H&E · ×20 · 16 image tiles from a single gastric biopsy slide · 300 × 300 pixels each.
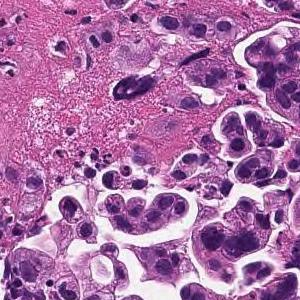
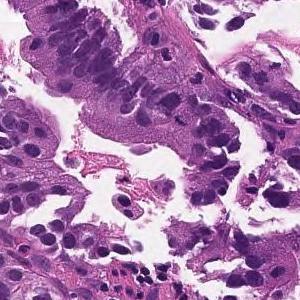
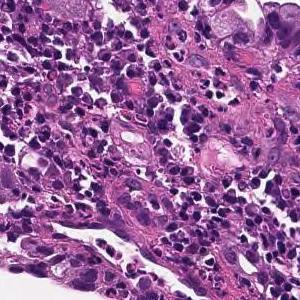
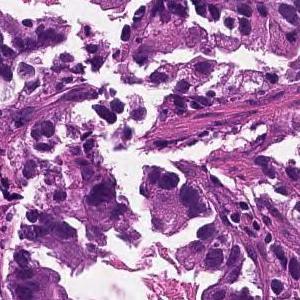
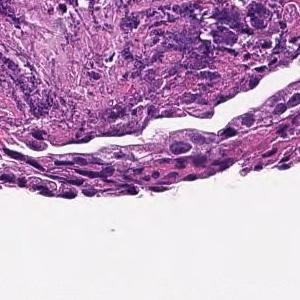
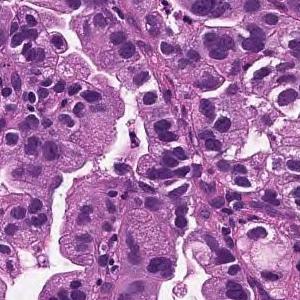
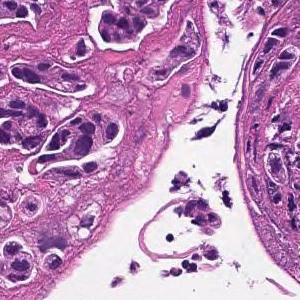
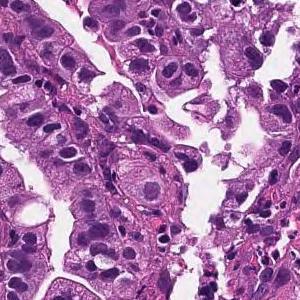
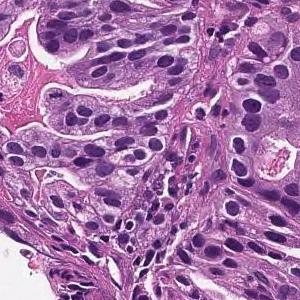
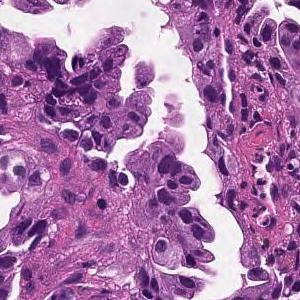
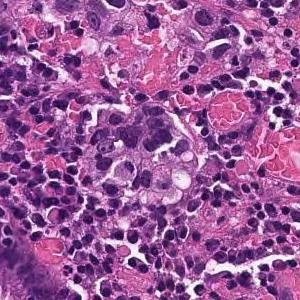
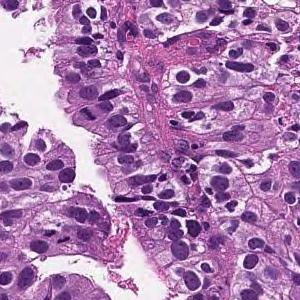
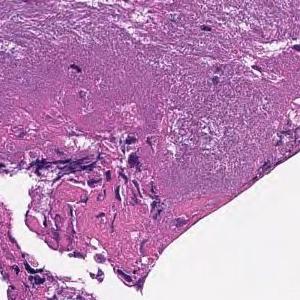
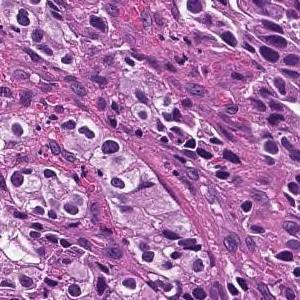
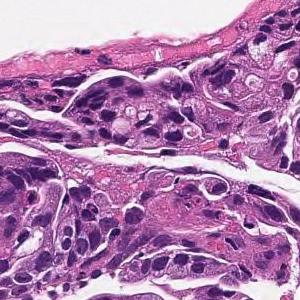
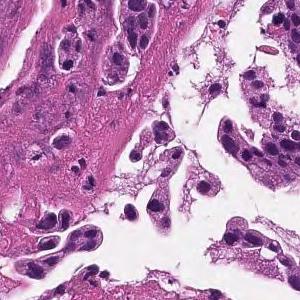
Pathology report for the biopsy slide these tiles were cut from. What the report and the diagnosis say applies to the whole slide; these tiles may miss some of the features named and may include tissue that is not tumor.
Medium to small, irregular glandular ducts are formed in the superficial epithelium, and in some cases, the glandular ducts are fused to show solid alveolar lesions and infiltrating tumor tissue is observed. Moderately to poorly differentiated adenocarcinoma.
